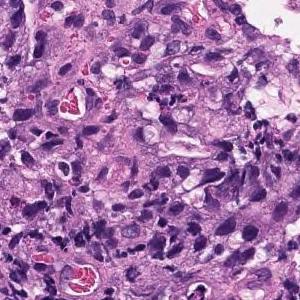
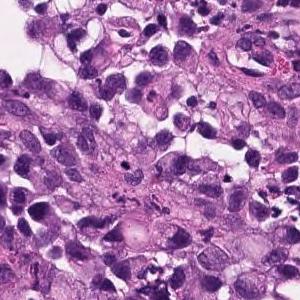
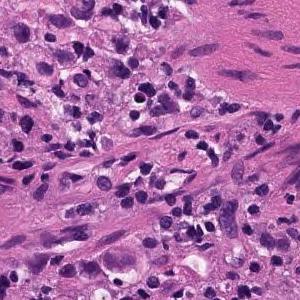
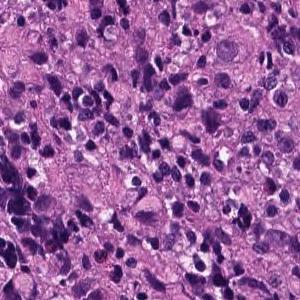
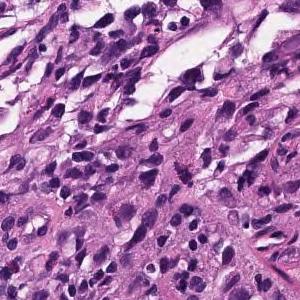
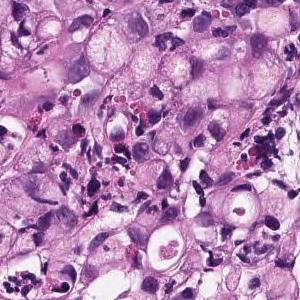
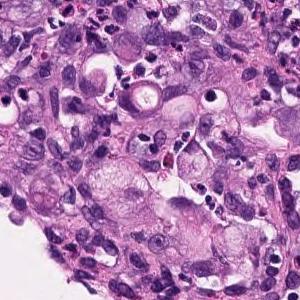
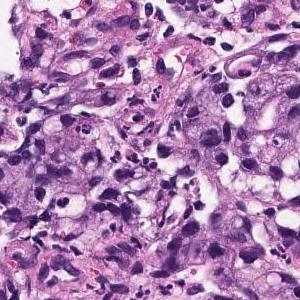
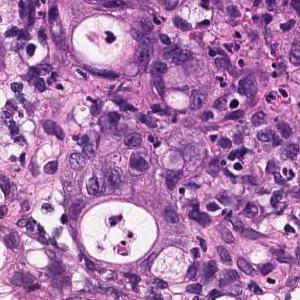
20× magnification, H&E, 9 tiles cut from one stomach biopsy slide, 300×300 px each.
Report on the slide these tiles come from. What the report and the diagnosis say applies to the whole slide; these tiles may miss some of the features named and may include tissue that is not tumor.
Atypical epithelium forms irregularly fused gland ducts and proliferates. Poorly differentiated adenocarcinoma.
Subtype: Poorly differentiated adenocarcinoma, non-solid type.
The non-solid type named here is a Japanese Classification of Gastric Carcinoma category.
